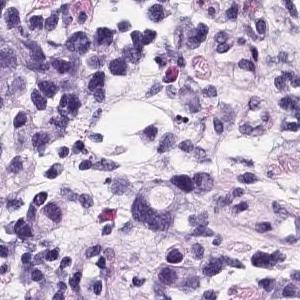
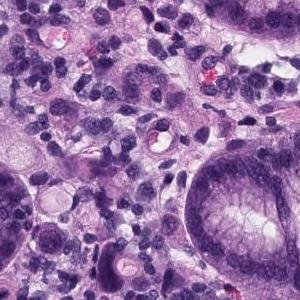
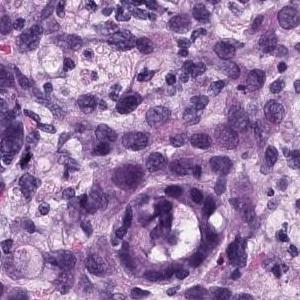
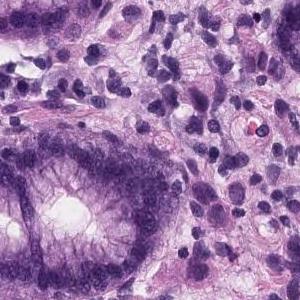
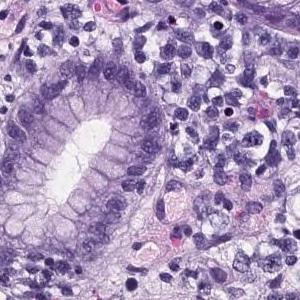
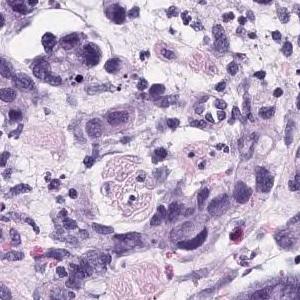
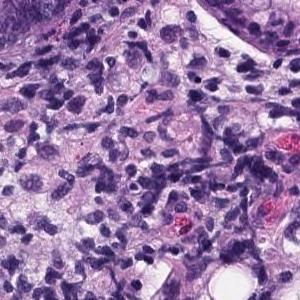
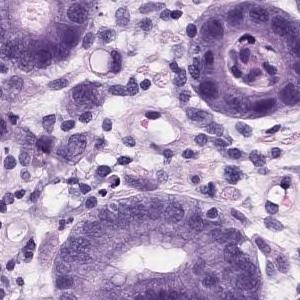
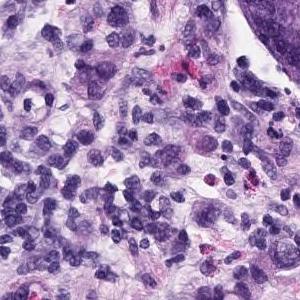
9 patches cut from one gastric biopsy slide, 300 × 300 pixels each.
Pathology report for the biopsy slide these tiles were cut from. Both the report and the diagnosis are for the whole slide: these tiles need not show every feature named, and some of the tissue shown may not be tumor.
Group 5, Adenocarcinoma. Poorly differentiated adenocarcinoma, non-solid type
The term "non-solid type" comes from the Japanese Classification of Gastric Carcinoma.
